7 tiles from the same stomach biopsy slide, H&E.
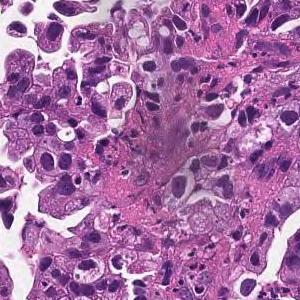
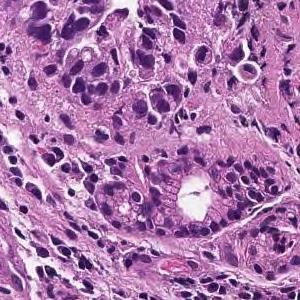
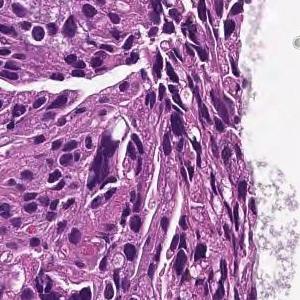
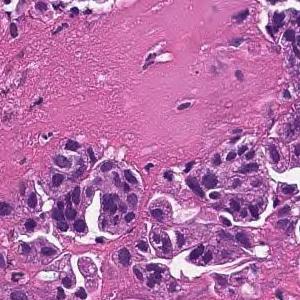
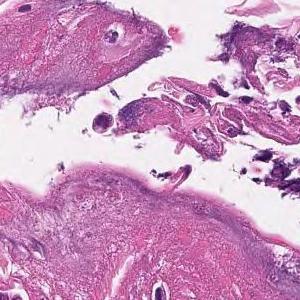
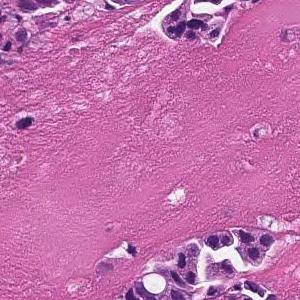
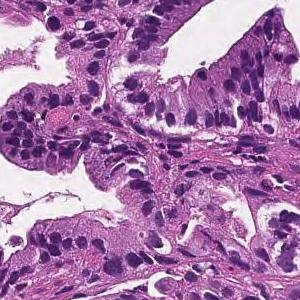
Report on the slide these tiles come from. The report and the diagnosis cover the entire slide, so not every feature they name need be visible here, and some tissue shown may not be tumor.
Medium to small, irregular glandular ducts are formed in the superficial epithelium, and in some cases, the glandular ducts are fused to show solid alveolar lesions and infiltrating tumor tissue is observed. Moderately to poorly differentiated adenocarcinoma.
